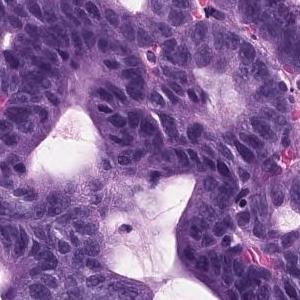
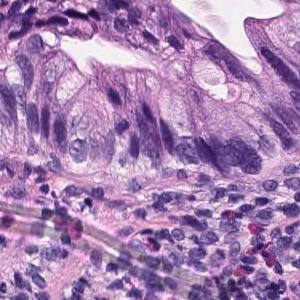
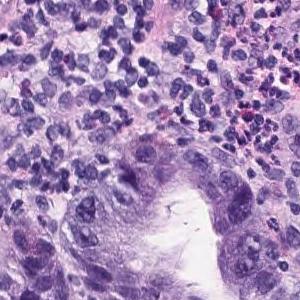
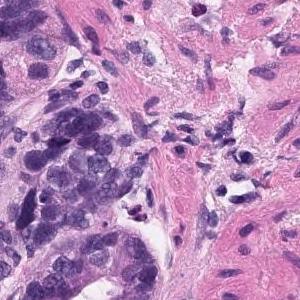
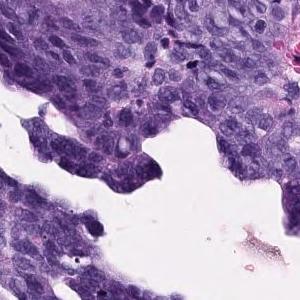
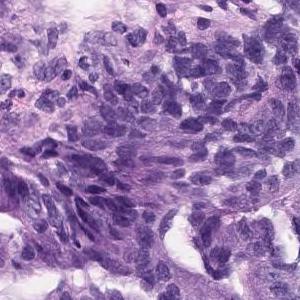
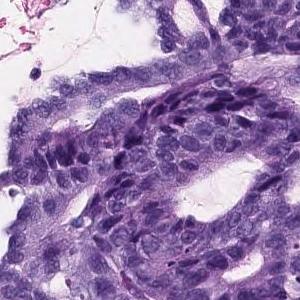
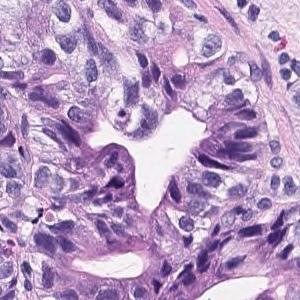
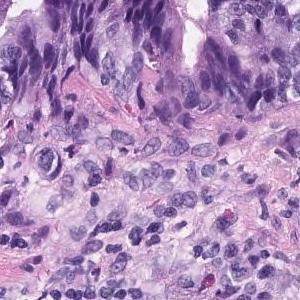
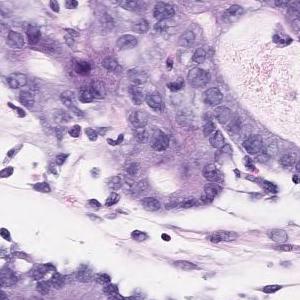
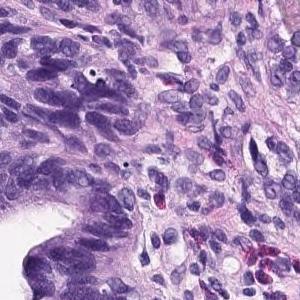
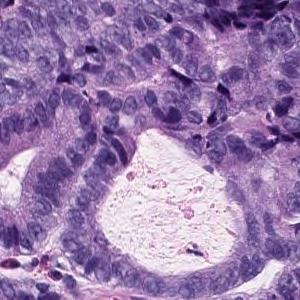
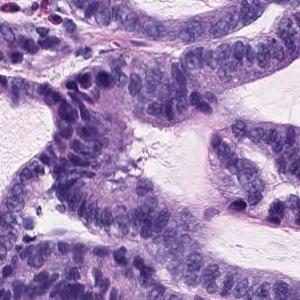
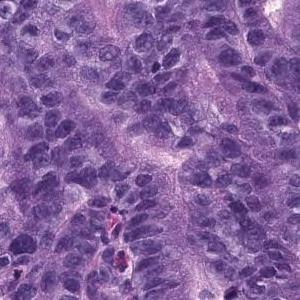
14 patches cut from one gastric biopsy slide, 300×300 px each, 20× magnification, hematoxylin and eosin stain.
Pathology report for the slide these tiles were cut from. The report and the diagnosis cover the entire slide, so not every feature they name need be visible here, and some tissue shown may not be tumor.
In the superficial epithelium, tumor tissue that invades by forming medium-sized to small, irregular ducts is observed. Well to moderately differentiated tubular adenocarcinoma.
